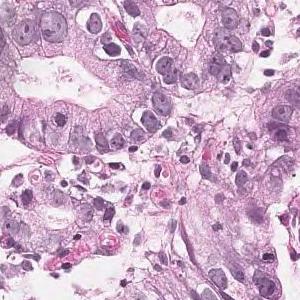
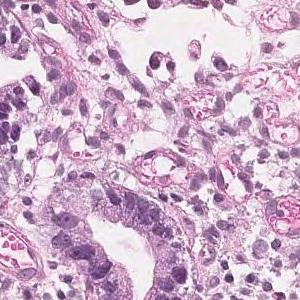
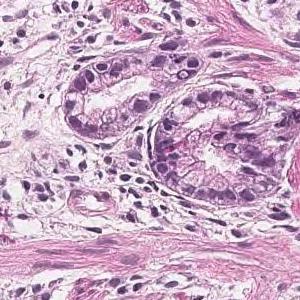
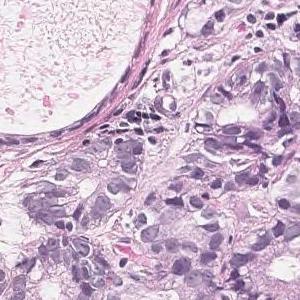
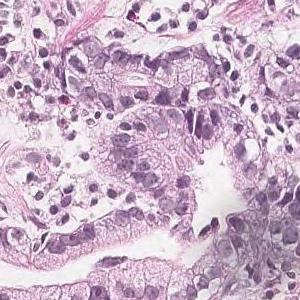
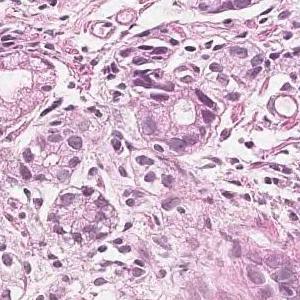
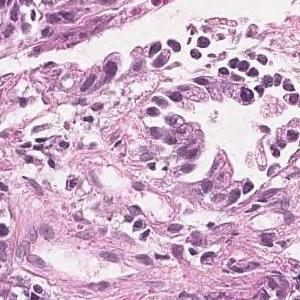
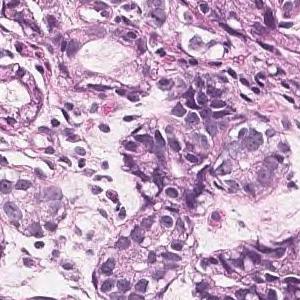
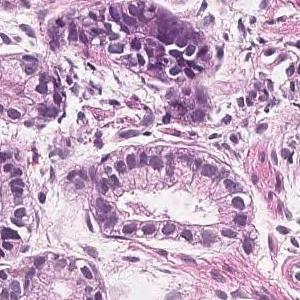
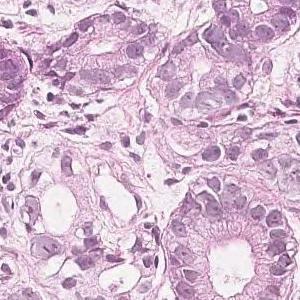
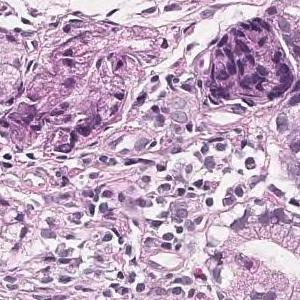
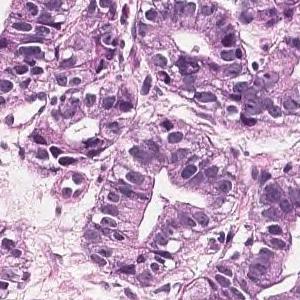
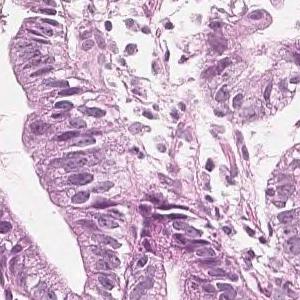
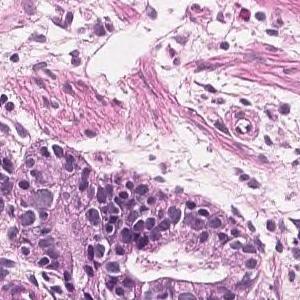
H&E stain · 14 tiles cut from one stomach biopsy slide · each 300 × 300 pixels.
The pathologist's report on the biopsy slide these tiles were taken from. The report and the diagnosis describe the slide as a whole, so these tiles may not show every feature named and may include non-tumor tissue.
In the superficial epithelium, tumor tissue that invades by forming medium-sized to small, irregular ducts is observed. moderately differentiated tubular adenocarcinoma.
